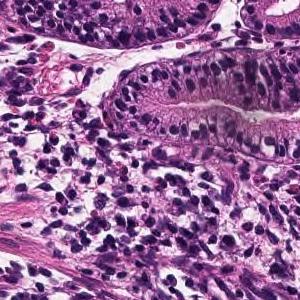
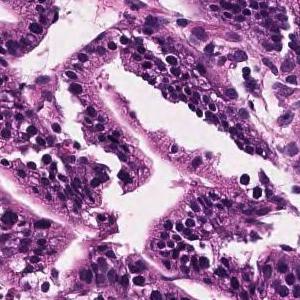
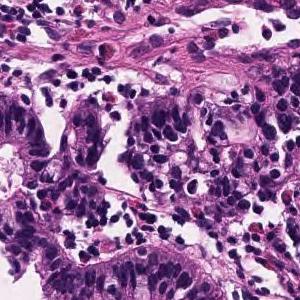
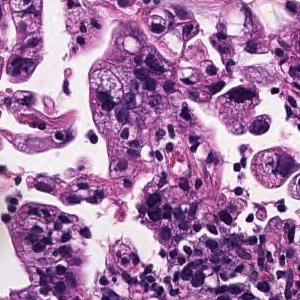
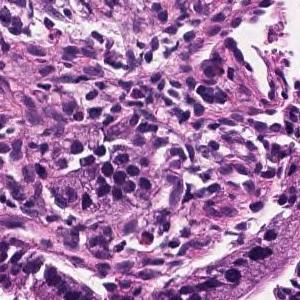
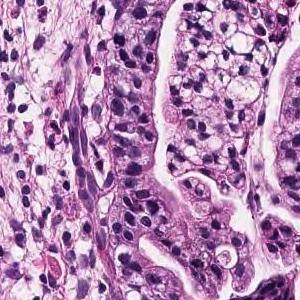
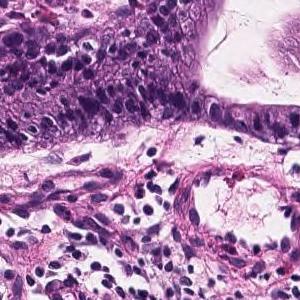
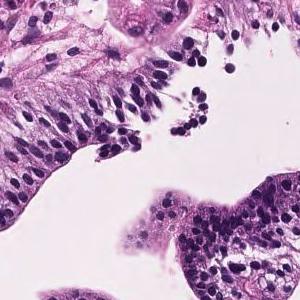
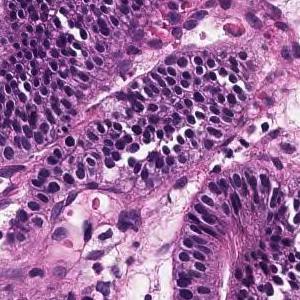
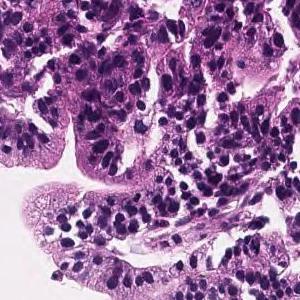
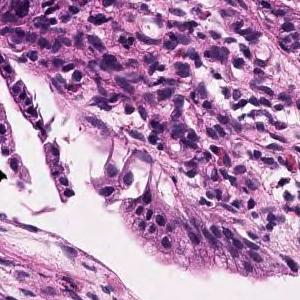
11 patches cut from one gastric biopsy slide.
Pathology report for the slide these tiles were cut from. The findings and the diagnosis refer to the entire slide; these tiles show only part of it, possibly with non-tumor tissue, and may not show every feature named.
Tumor tissue consisting of large papillary structures or irregular glandular ducts partially fused and infiltrated is observed in the superficial epithelium. Well to moderately differentiated tubular adenocarcinoma.
Labeled in the dataset as moderately differentiated tubular adenocarcinoma.
